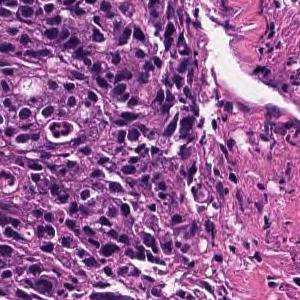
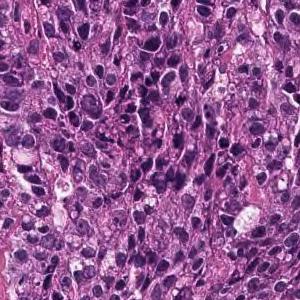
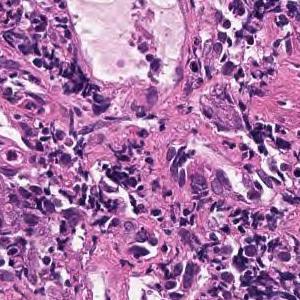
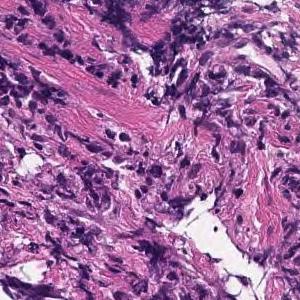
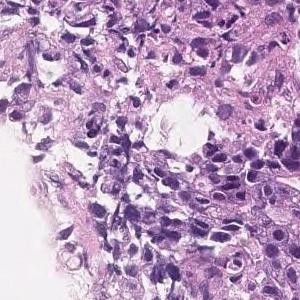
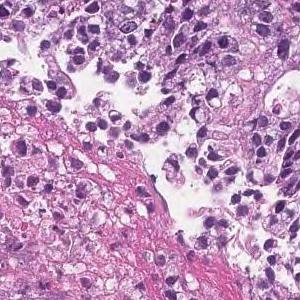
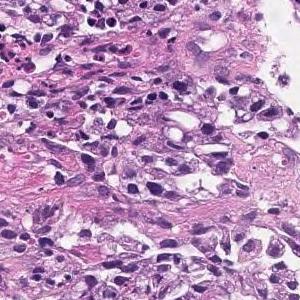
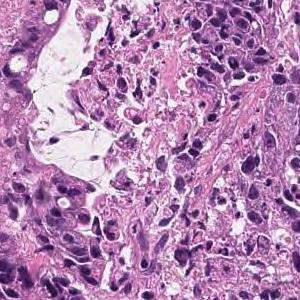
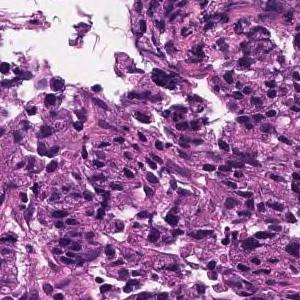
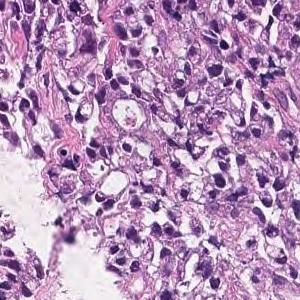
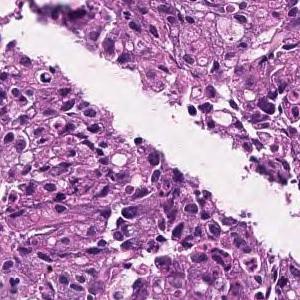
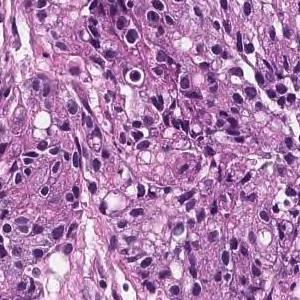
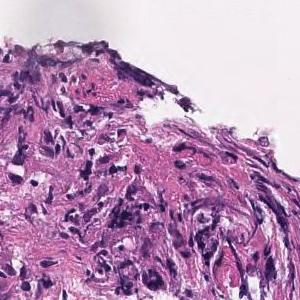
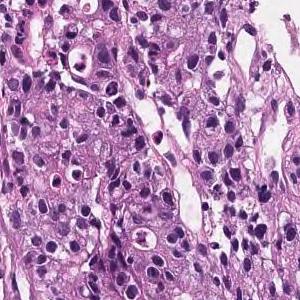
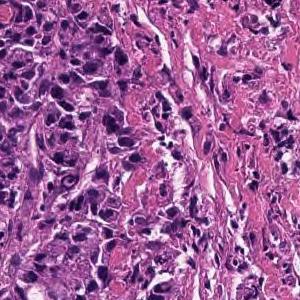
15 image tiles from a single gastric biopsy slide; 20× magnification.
The pathologist's report on the biopsy slide these tiles were taken from. The findings and the diagnosis refer to the entire slide; these tiles show only part of it, possibly with non-tumor tissue, and may not show every feature named.
Medium to small, irregular glandular ducts are formed in the superficial epithelium, and in some cases, the glandular ducts are fused to show solid alveolar lesions and infiltrating tumor tissue is observed. Moderately to poorly differentiated adenocarcinoma.
